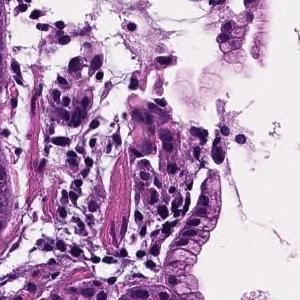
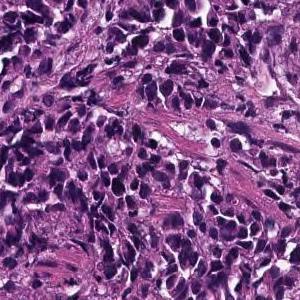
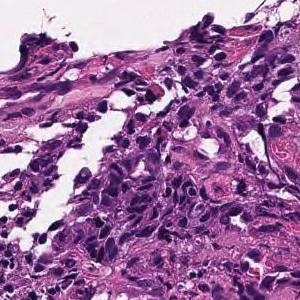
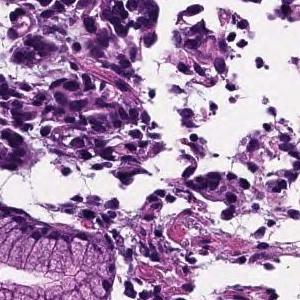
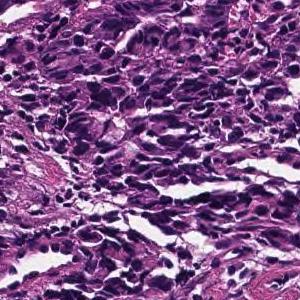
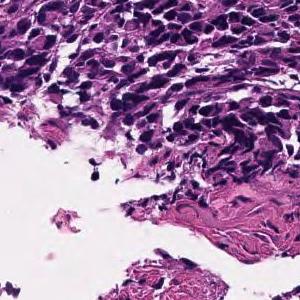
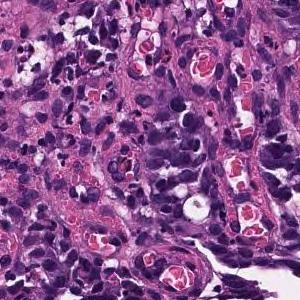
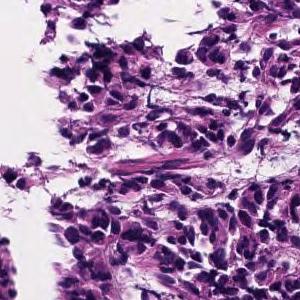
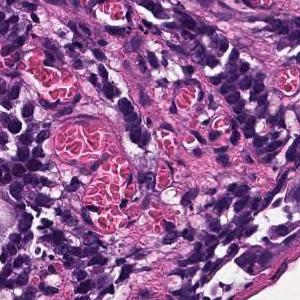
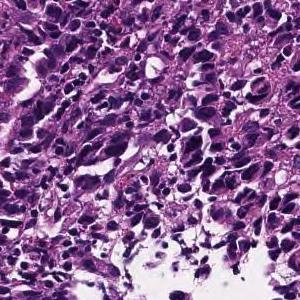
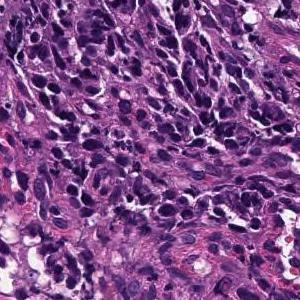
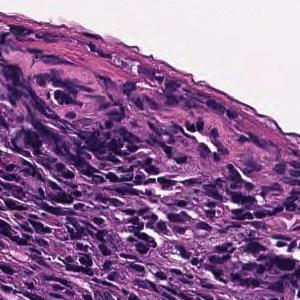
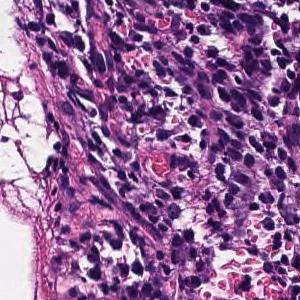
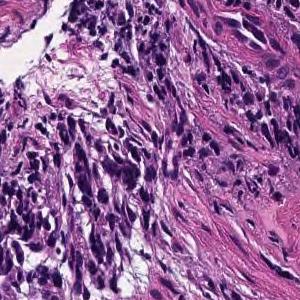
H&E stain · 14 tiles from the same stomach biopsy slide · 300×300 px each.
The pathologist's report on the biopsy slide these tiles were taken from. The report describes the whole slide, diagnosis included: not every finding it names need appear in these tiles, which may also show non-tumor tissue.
Poorly differentiated, solid adenocarcinoma (poorly differentiated adenocarcinoma, solid type) with tumor tissue diffusely infiltrated with atypical epithelial cells
Histological subtype: Poorly differentiated adenocarcinoma, solid type (Japanese Classification of Gastric Carcinoma). The WHO 2019 equivalent is tubular adenocarcinoma, poorly differentiated.
